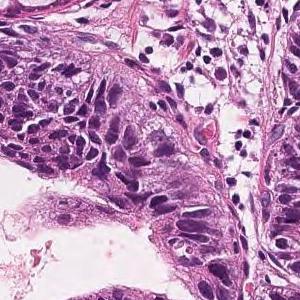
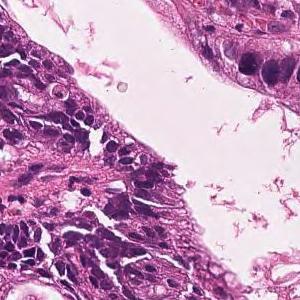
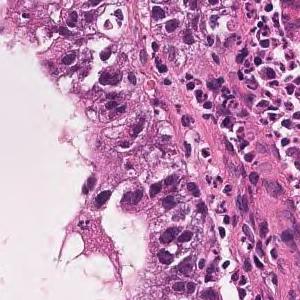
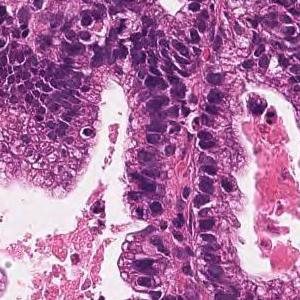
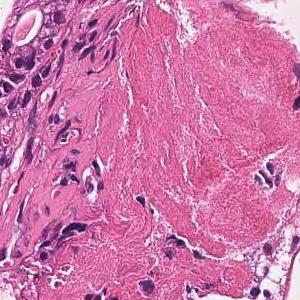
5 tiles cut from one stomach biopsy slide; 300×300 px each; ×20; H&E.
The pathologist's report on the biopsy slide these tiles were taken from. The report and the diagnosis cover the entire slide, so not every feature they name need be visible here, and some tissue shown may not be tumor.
On the superficial epithelium, tumor tissue consisting of large, irregular glandular ducts partially fused and infiltrated is observed. Well to moderately differentiated tubular adenocarcinoma (well differentiated tubular adenocarcinoma, moderately differentiated tubular adenocarcinoma)
Classified as well to moderately differentiated tubular adenocarcinoma.
